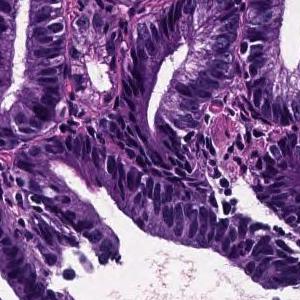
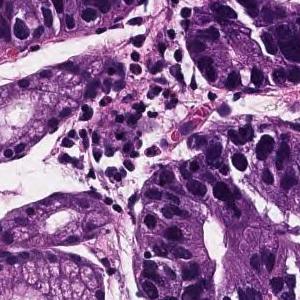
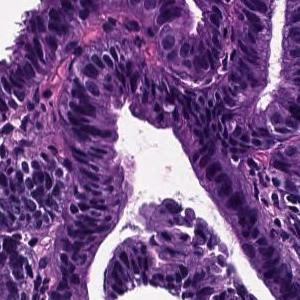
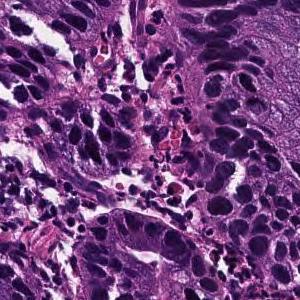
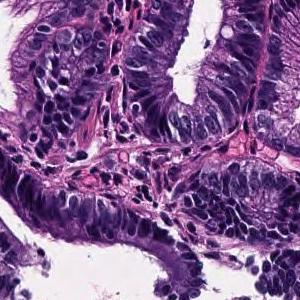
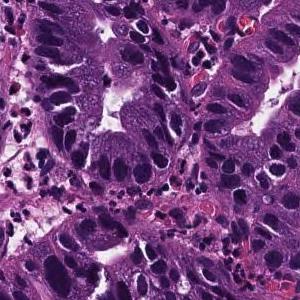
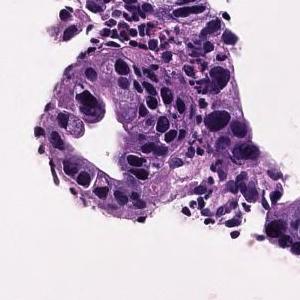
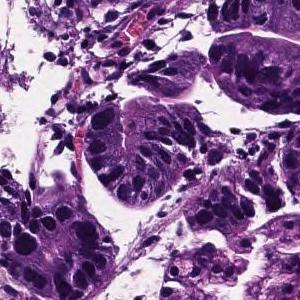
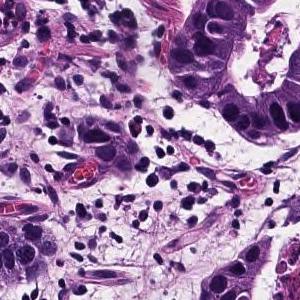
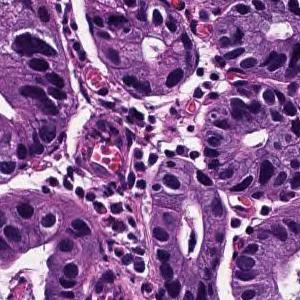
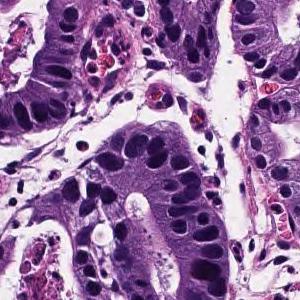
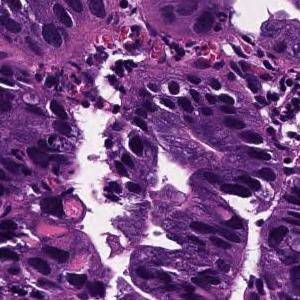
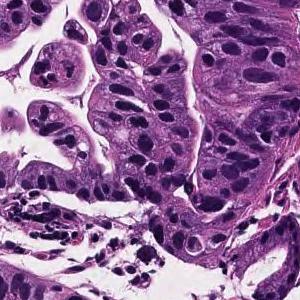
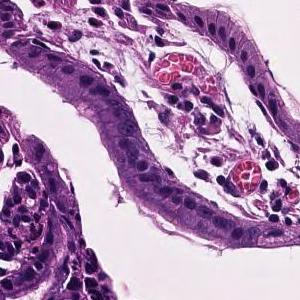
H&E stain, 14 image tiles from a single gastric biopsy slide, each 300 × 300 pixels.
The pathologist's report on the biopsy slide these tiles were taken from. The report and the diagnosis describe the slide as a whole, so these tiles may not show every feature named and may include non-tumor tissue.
In the superficial epithelium, tumor tissue that invades by forming medium-sized to small, irregular ducts is observed. Well differentiated tubular adenocarcinoma.
